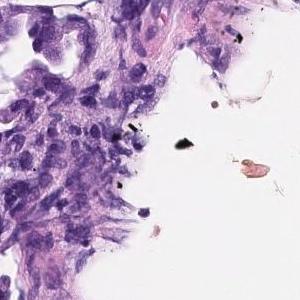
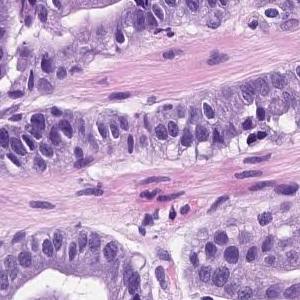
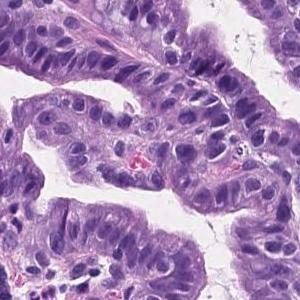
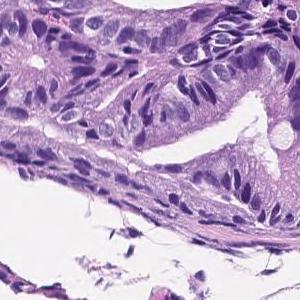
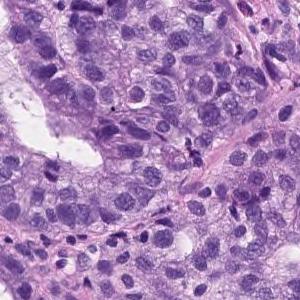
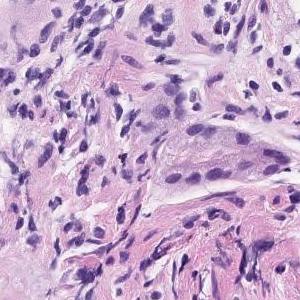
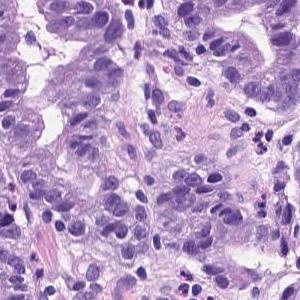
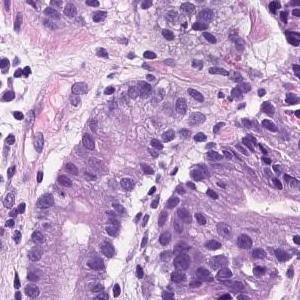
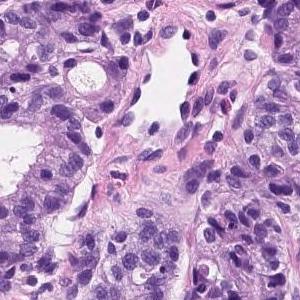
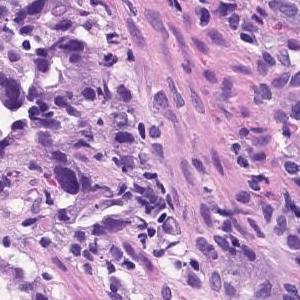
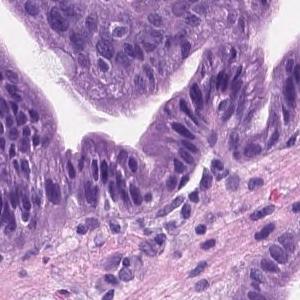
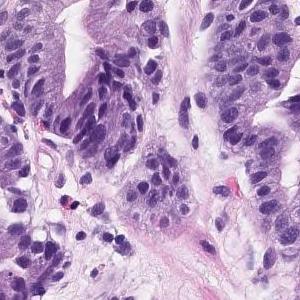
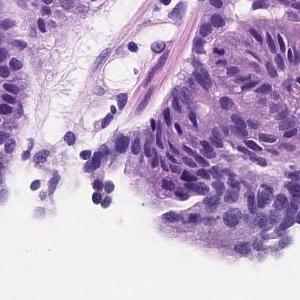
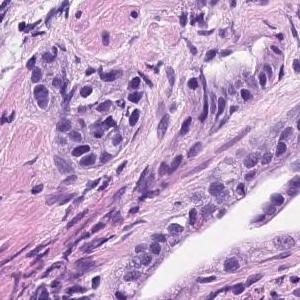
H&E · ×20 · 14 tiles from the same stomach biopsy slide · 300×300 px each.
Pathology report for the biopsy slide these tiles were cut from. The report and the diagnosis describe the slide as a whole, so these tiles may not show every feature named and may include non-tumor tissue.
Tumor tissue consisting of medium-sized and irregular ducts is observed infiltrating in the superficial epithelium. Tumor cells are highly columnar, with nuclei aligned basolaterally and polarized. Well differentiated tubular adenocarcinoma.
